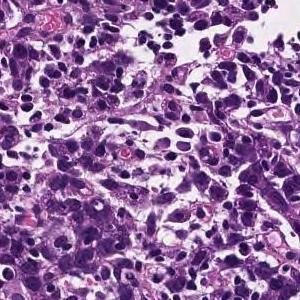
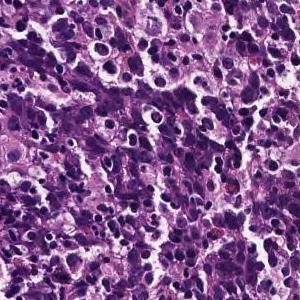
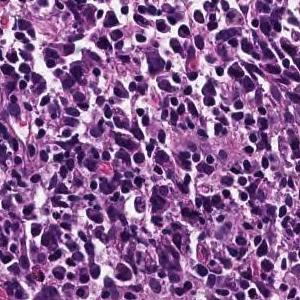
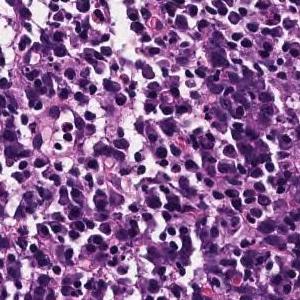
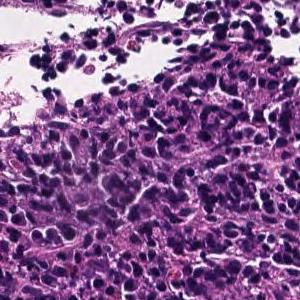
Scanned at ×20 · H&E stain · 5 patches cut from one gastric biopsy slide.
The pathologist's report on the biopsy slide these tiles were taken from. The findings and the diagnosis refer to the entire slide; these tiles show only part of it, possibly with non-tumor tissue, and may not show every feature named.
Tumor tissue consisting of cord-like or small, irregular glandular ducts fused and infiltrated is observed in the superficial epithelium. Poorly differentiated adenocarcinoma, non-solid type
The non-solid type named here is a Japanese Classification of Gastric Carcinoma category.
